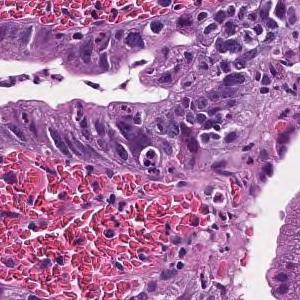
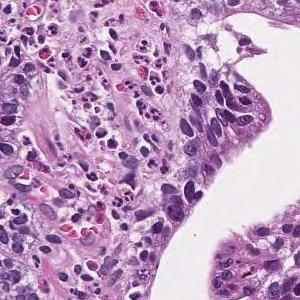
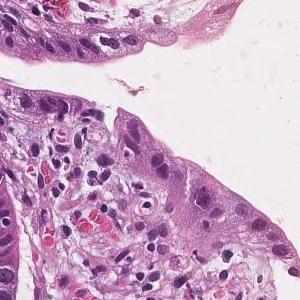
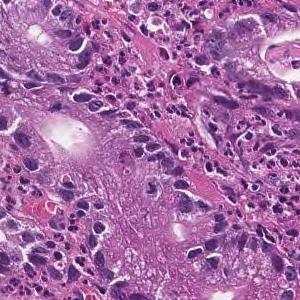
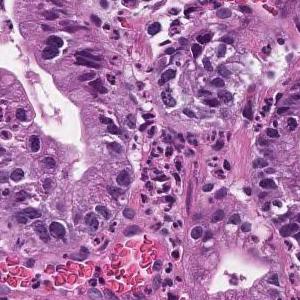
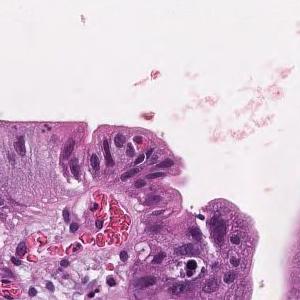
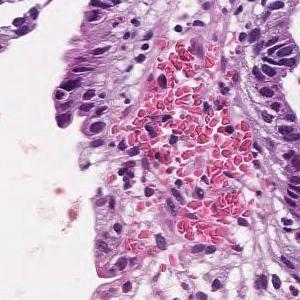
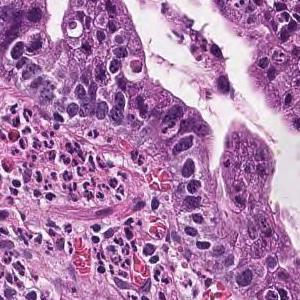
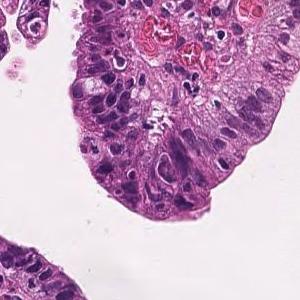
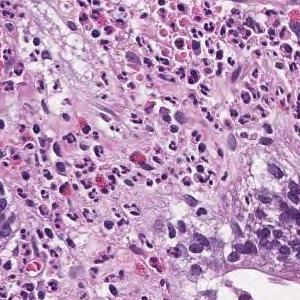
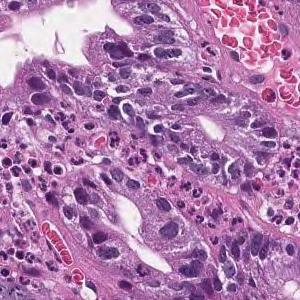
11 tiles cut from one stomach biopsy slide; each 300 × 300 pixels; H&E.
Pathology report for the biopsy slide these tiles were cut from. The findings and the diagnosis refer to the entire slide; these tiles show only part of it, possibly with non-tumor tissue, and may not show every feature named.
Tumor cells are large, highly columnar, large club-shaped nuclei, and are associated with chromatin aggregation. Papillary adenocarcinoma.
